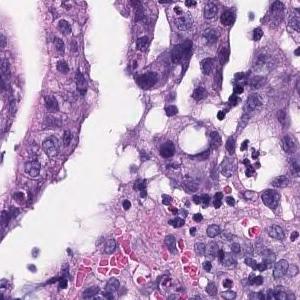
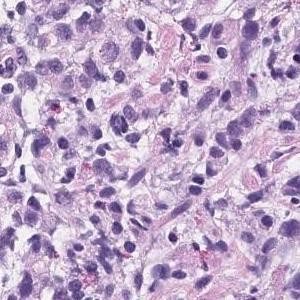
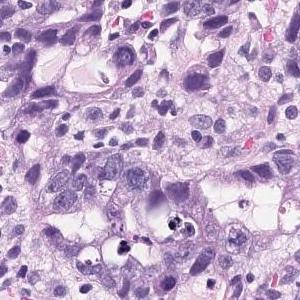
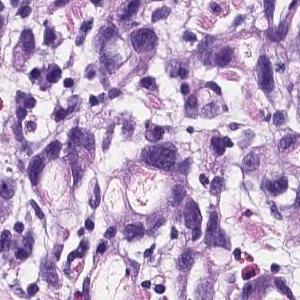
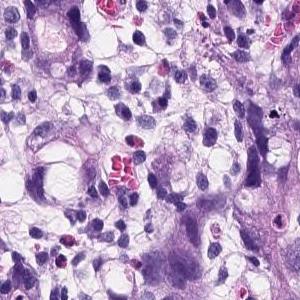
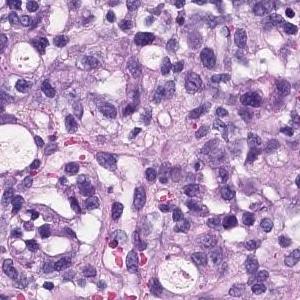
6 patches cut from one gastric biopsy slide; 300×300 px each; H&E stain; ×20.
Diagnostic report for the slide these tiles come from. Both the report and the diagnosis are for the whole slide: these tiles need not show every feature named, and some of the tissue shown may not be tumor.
There are atypical l cells with atypical nuclei forming cord-like or irregular atypical ducts from solidity and proliferating in a comprehensive manner. Poorly differentiated adenocarcinoma, Moderately differentiated adenocarcinoma (poorly differentiated adenocarcinoma, solid type moderately differentiated tubular adenocarcinoma)
Tumor subtype: moderately to poorly differentiated adenocarcinoma.
The term "solid type" comes from the Japanese Classification of Gastric Carcinoma; the WHO 2019 equivalent is tubular adenocarcinoma, poorly differentiated.
